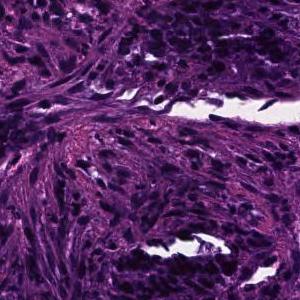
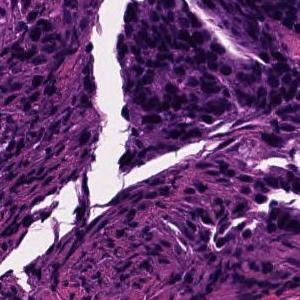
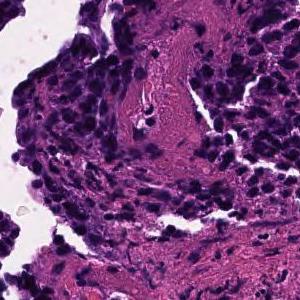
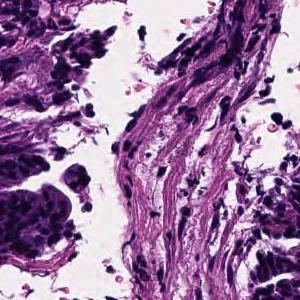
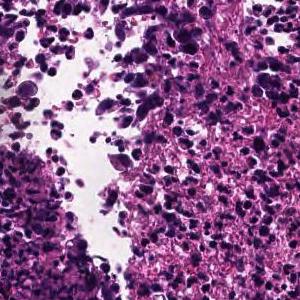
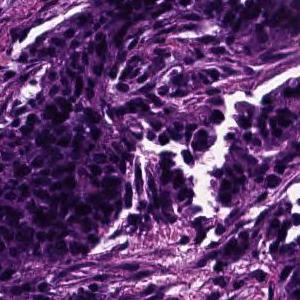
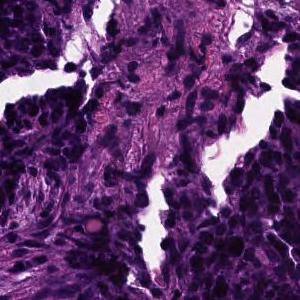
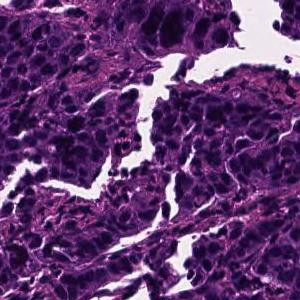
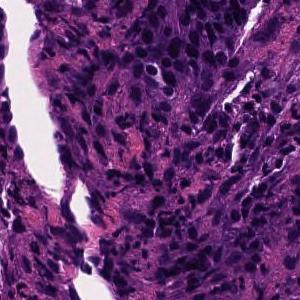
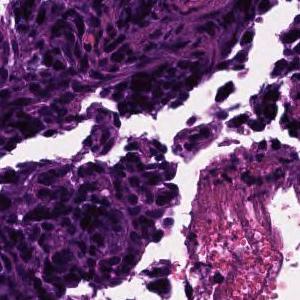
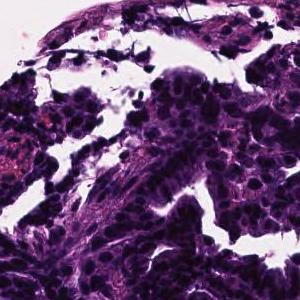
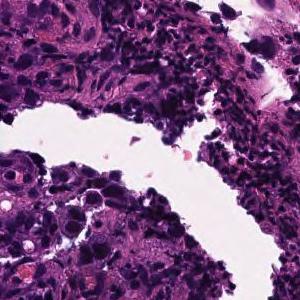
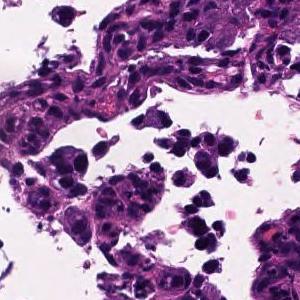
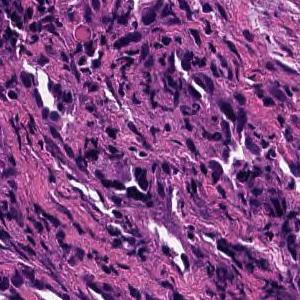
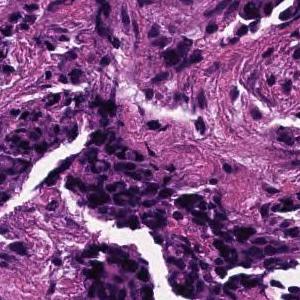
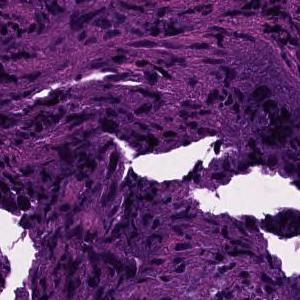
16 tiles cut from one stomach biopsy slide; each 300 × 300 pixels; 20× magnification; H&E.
The pathologist's report on the biopsy slide these tiles were taken from. The findings and the diagnosis refer to the entire slide; these tiles show only part of it, possibly with non-tumor tissue, and may not show every feature named.
In the superficial epithelium, tumor tissue that invades by forming medium-sized to small, irregular ducts is observed. moderately differentiated tubular adenocarcinoma.
